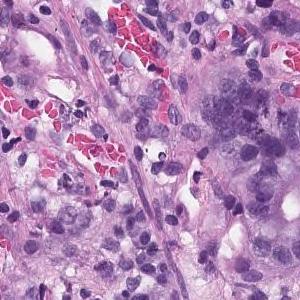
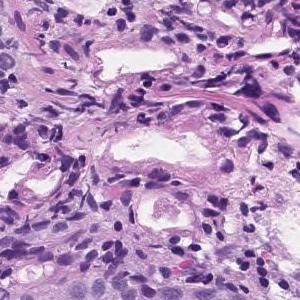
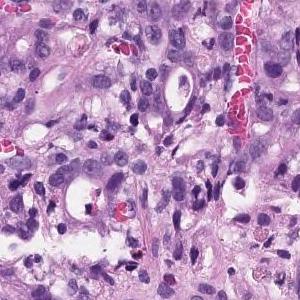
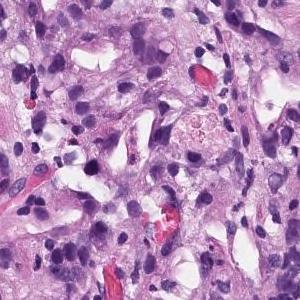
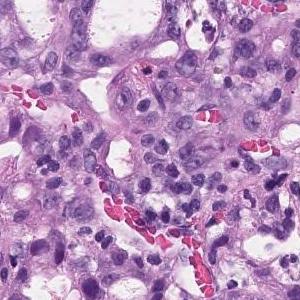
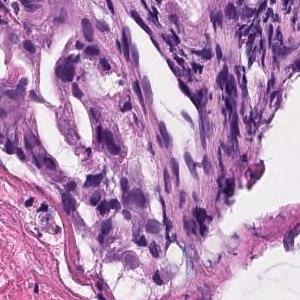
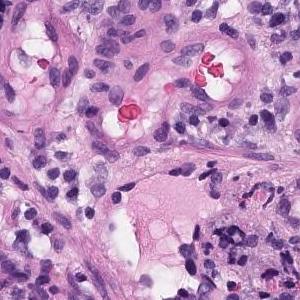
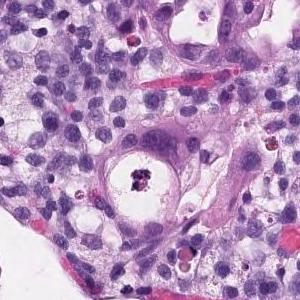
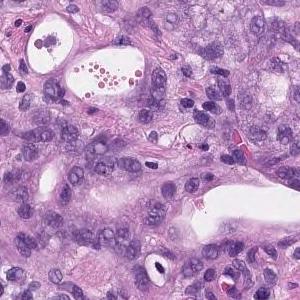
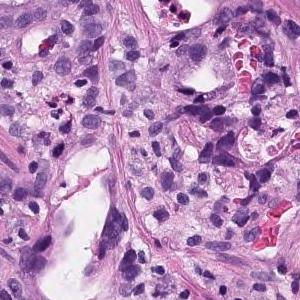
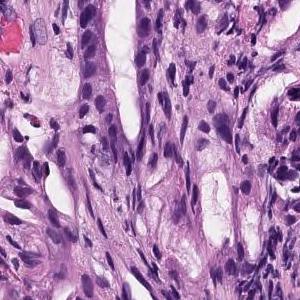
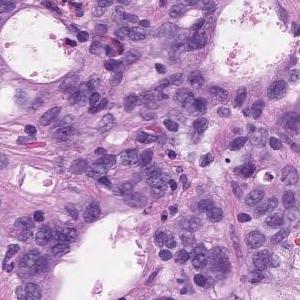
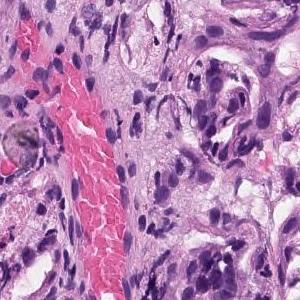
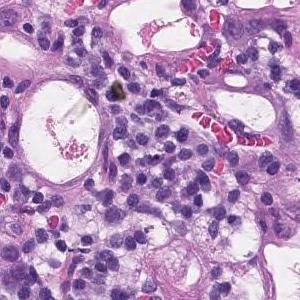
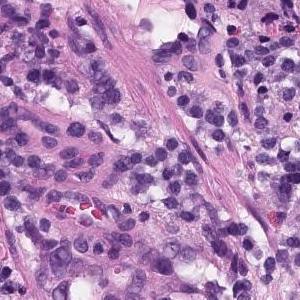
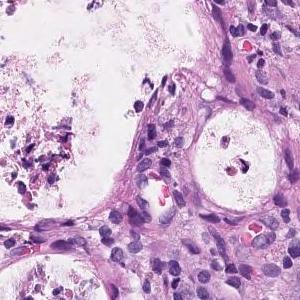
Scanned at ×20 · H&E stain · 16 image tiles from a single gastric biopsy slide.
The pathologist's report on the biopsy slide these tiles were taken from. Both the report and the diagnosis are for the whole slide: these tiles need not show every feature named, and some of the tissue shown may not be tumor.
In the superficial epithelium, tumor tissue that invades by forming medium-sized to small, irregular ducts is observed. Moderately differentiated adenocarcinoma.
Tumor subtype: moderately differentiated tubular adenocarcinoma.
